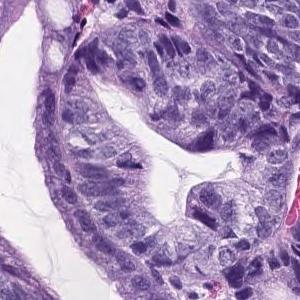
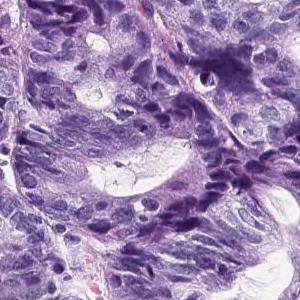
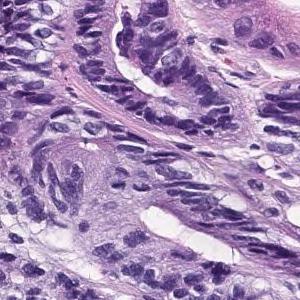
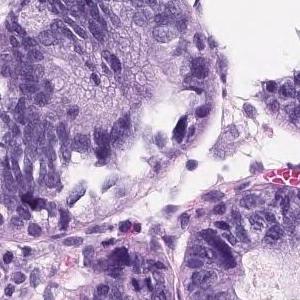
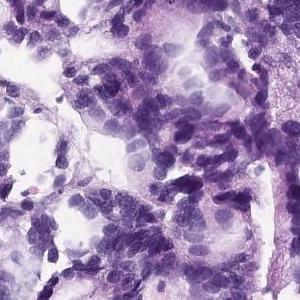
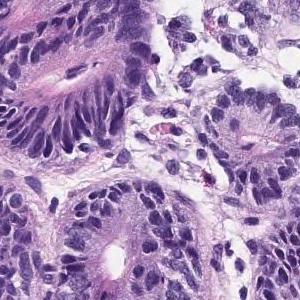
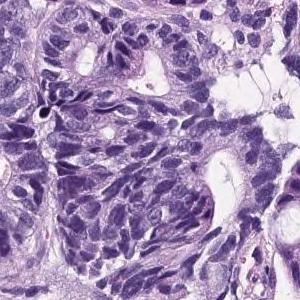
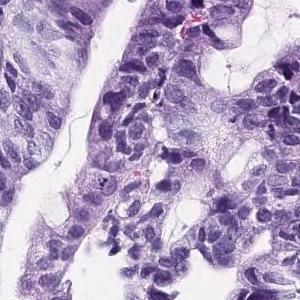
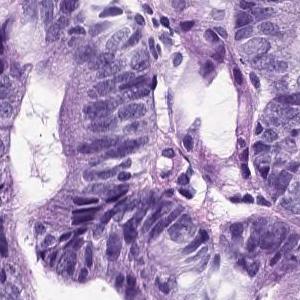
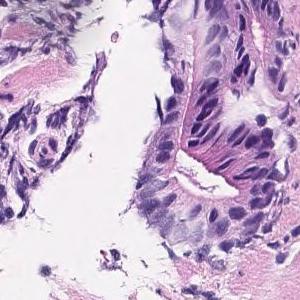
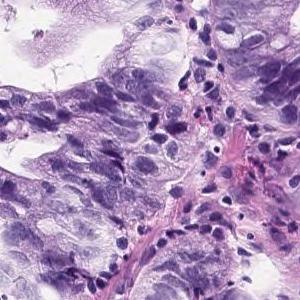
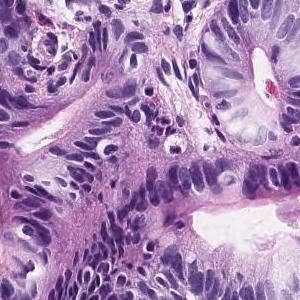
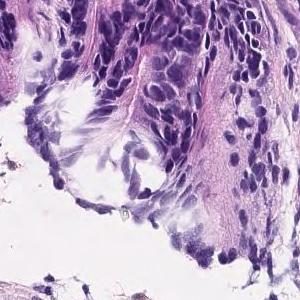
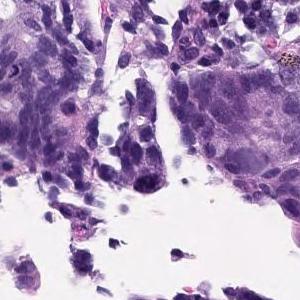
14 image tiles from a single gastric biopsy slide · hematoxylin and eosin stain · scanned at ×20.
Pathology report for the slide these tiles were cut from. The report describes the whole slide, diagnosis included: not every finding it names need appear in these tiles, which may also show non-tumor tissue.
On the superficial epithelium, tumor tissue consisting of medium-sized to large-sized, round or irregular glandular duct growth images is observed. Well differentiated adenocarcinoma.
Histological subtype: Well differentiated tubular adenocarcinoma.
